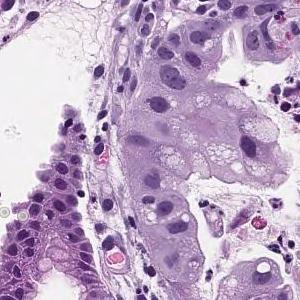
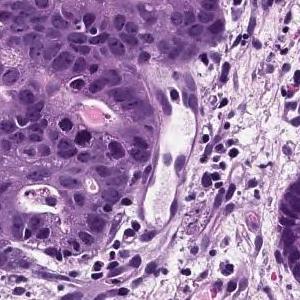
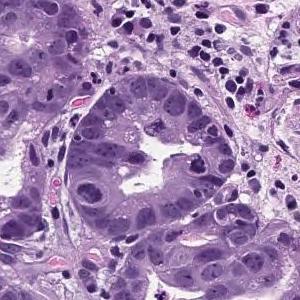
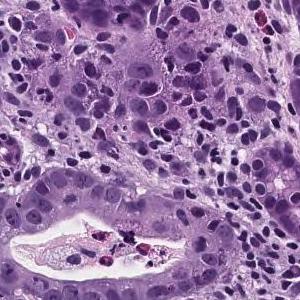
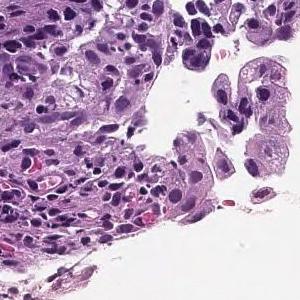
5 image tiles from a single gastric biopsy slide, 300×300 px each, hematoxylin and eosin stain, 20× magnification.
Pathology report for the biopsy slide these tiles were cut from. The report describes the whole slide, diagnosis included: not every finding it names need appear in these tiles, which may also show non-tumor tissue.
Tumor cells are large, highly columnar, large club-shaped nuclei, and are associated with chromatin aggregation. Papillary adenocarcinoma.
